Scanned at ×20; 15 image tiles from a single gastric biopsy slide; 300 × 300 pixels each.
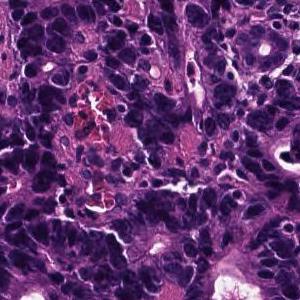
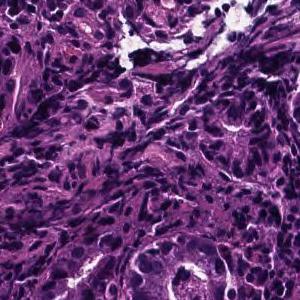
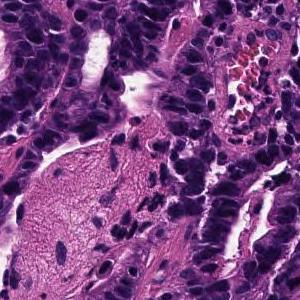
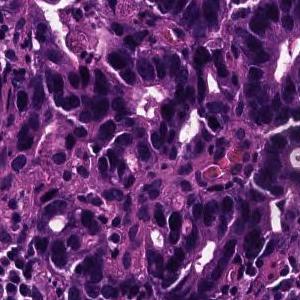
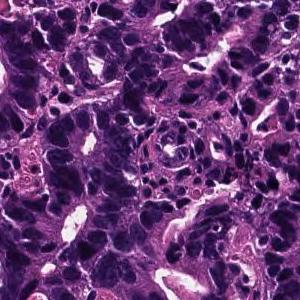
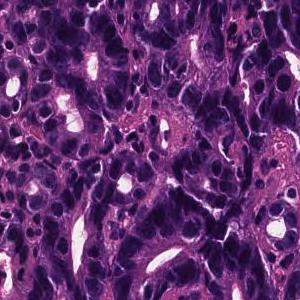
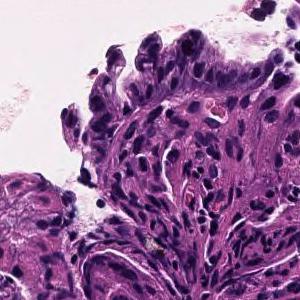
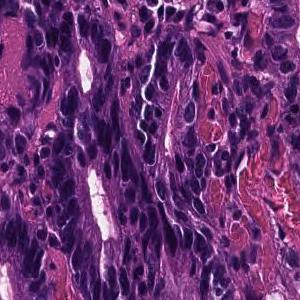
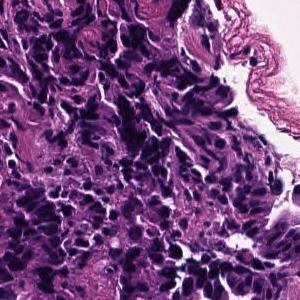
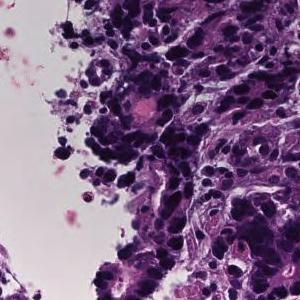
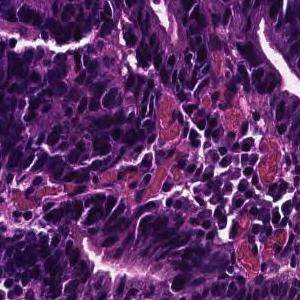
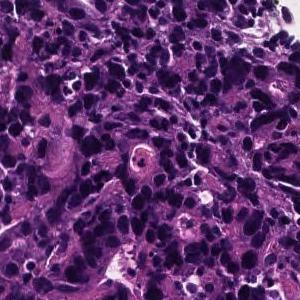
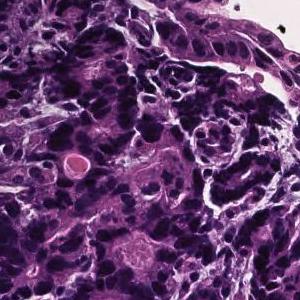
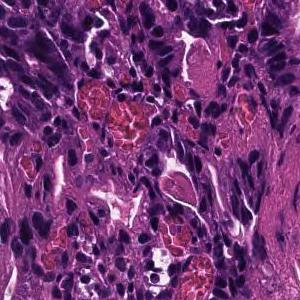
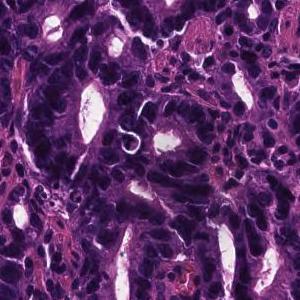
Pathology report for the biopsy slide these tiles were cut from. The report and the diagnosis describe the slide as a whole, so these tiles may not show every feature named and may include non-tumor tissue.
On the superficial epithelium, tumor tissue consisting of large, irregular glandular ducts partially fused and infiltrated is observed. Well to moderately differentiated tubular adenocarcinoma (well differentiated tubular adenocarcinoma, moderately differentiated tubular adenocarcinoma)
Histologic type: Well to moderately differentiated tubular adenocarcinoma.
